×20; 9 tiles from the same stomach biopsy slide; each 300 × 300 pixels.
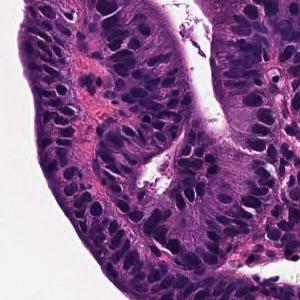
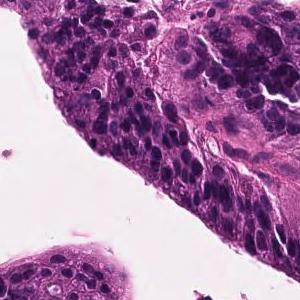
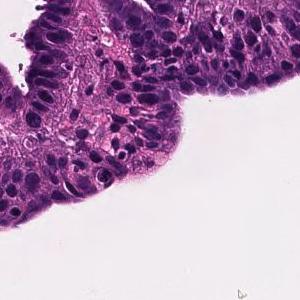
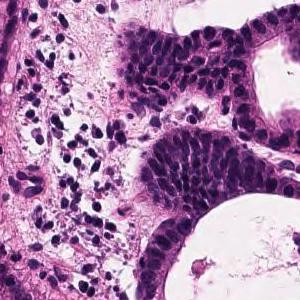
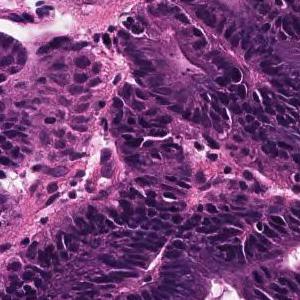
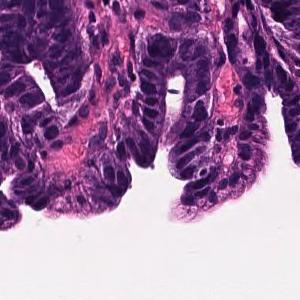
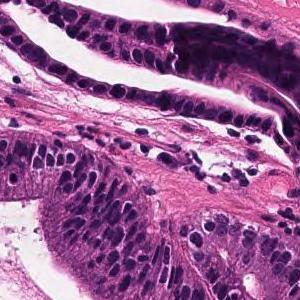
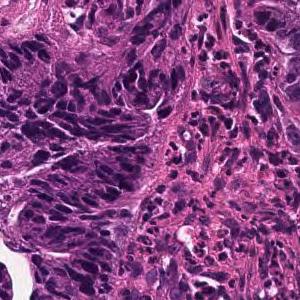
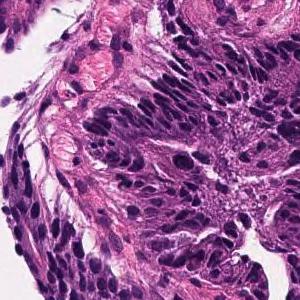
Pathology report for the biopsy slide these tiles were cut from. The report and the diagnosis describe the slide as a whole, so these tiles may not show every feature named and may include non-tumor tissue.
Tumor tissue that remains within the superficial epithelium and is infiltrated by large papillary or irregular ducts that fuse with each other is observed. Well differentiated tubular adenocarcinoma
